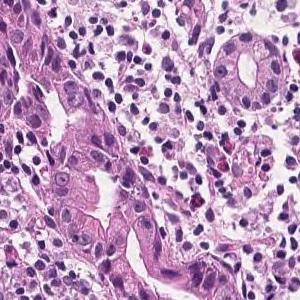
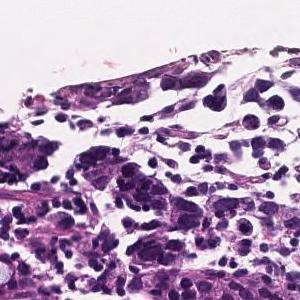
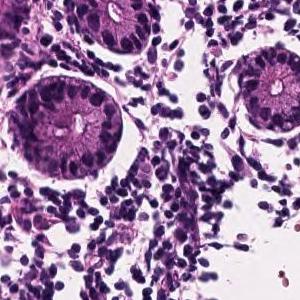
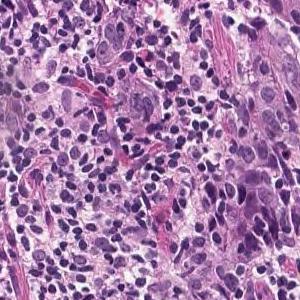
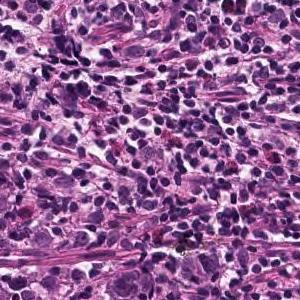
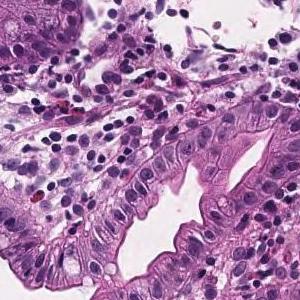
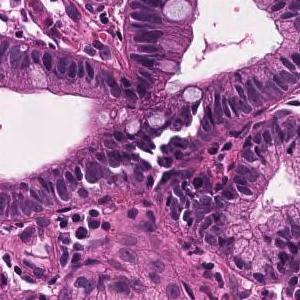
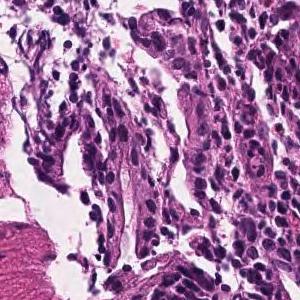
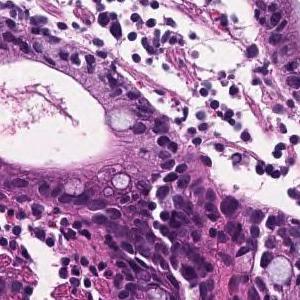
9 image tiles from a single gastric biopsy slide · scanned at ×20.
The pathologist's report on the biopsy slide these tiles were taken from. Both the report and the diagnosis are for the whole slide: these tiles need not show every feature named, and some of the tissue shown may not be tumor.
Tumor tissue consisting of medium-sized, cord-like or irregular glandular infiltration is observed in the superficial epithelium. Poorly differentiated adenocarcinoma, non-solid type or moderately differentiated tubular adenocarcinoma
Histological subtype: Moderately to poorly differentiated adenocarcinoma.
The term "non-solid type" comes from the Japanese Classification of Gastric Carcinoma.
